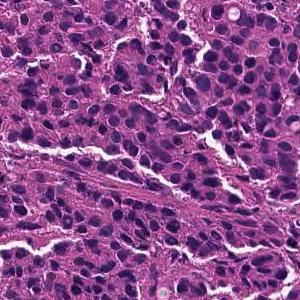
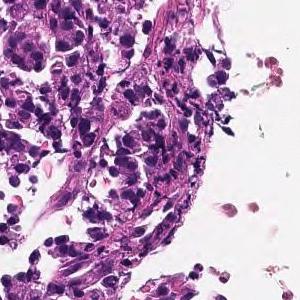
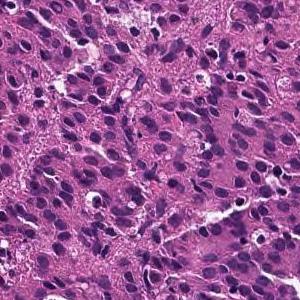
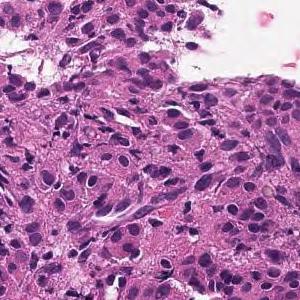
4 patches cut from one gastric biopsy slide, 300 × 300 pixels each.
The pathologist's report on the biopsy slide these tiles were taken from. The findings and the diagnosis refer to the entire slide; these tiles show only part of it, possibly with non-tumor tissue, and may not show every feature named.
The superficial epithelium shows a large sheet-like shape, and some tumor tissue infiltrates with small irregular ducts. Poorly differentiated adenocarcinoma, solid-type
Histological subtype: Poorly differentiated adenocarcinoma, solid type. This name comes from the Japanese Classification of Gastric Carcinoma; the WHO 2019 classification calls it tubular adenocarcinoma, poorly differentiated.
